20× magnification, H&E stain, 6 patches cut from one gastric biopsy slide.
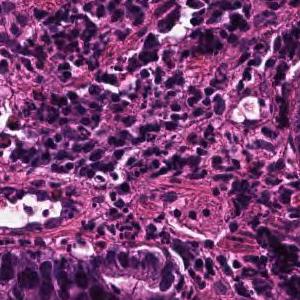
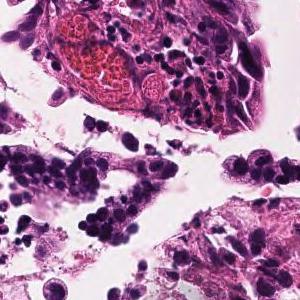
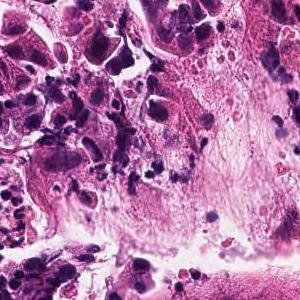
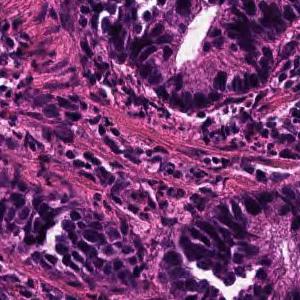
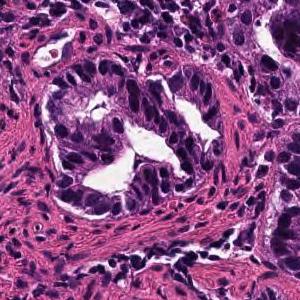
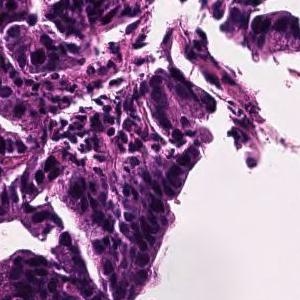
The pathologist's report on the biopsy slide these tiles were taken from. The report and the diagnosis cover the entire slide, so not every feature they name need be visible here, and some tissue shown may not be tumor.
Tumor tissue consisting of large papillary structures is found in the superficial epithelium. Papillary adenocarcinoma.
